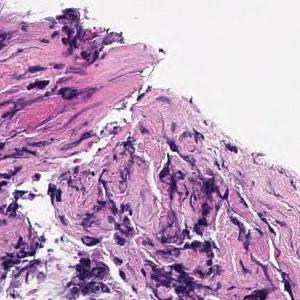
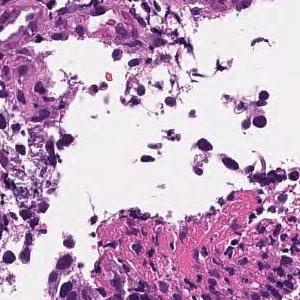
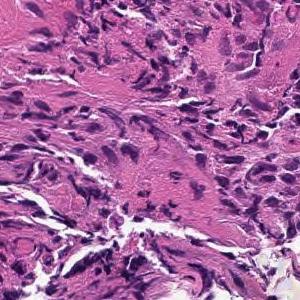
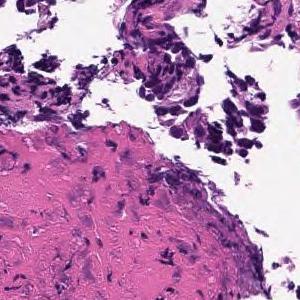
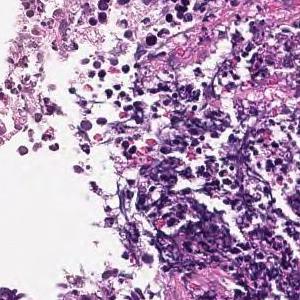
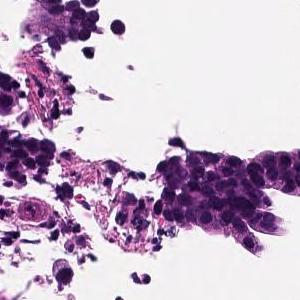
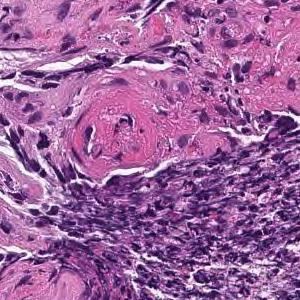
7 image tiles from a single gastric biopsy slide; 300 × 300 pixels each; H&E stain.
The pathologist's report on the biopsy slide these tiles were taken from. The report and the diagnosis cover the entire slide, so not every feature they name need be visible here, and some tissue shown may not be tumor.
In the superficial epithelium, tumor tissue that invades by forming medium-sized to small, irregular ducts is observed. moderately differentiated tubular adenocarcinoma.
